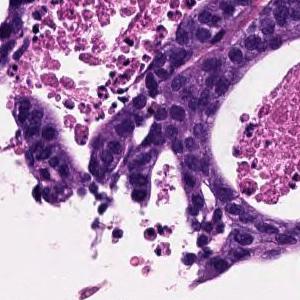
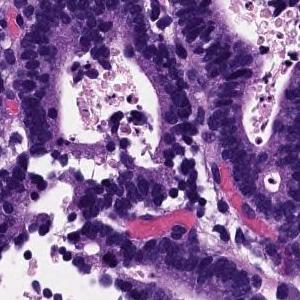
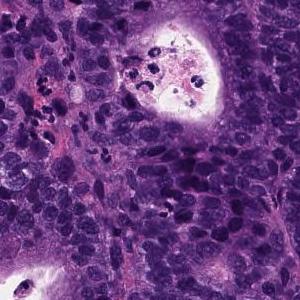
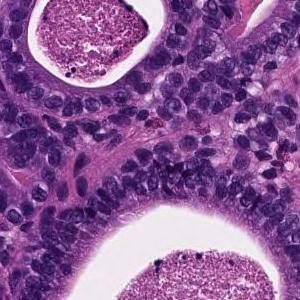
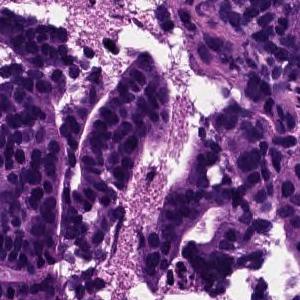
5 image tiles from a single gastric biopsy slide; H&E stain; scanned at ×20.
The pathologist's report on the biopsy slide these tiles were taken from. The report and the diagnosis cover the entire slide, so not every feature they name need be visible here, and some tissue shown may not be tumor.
From the superficial epithelium to the muscularis mucosae, tumor tissue consisting of medium-sized and irregular glandular ducts infiltrating is observed. Well differentiated tubular adenocarcinoma
